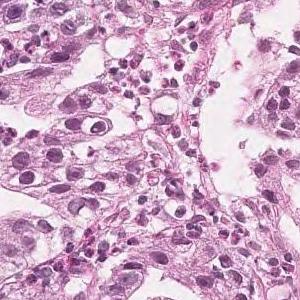
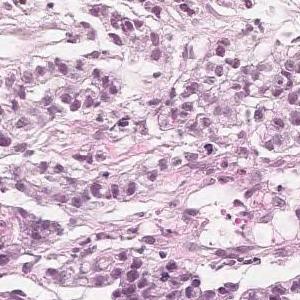
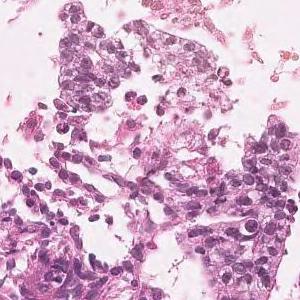
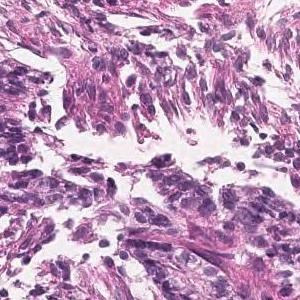
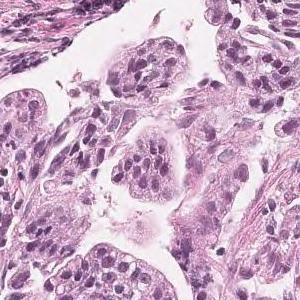
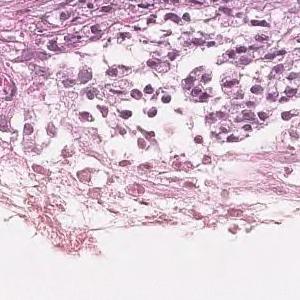
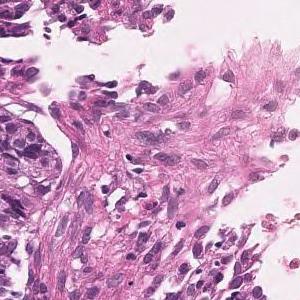
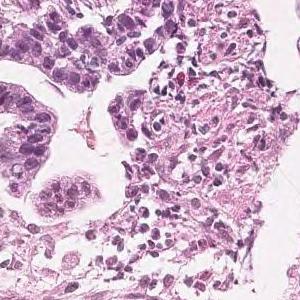
8 patches cut from one gastric biopsy slide · 300×300 px each · 20× magnification · hematoxylin and eosin stain.
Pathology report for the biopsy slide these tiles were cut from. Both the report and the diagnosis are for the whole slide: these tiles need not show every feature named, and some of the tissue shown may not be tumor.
Tumor tissue in which highly columnar atypical epithelial cells with nuclear enlargement and increased nuclear chromatin show papillary to papillary ductal structure and proliferate is observed. Papillary adenocarcinoma.
